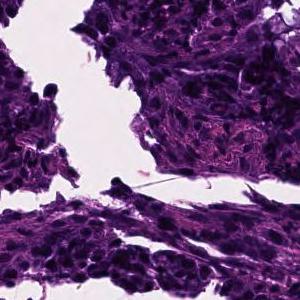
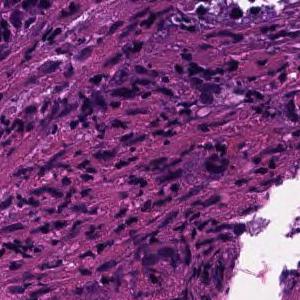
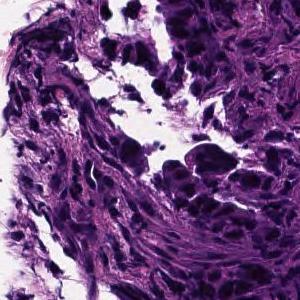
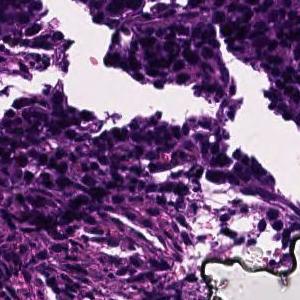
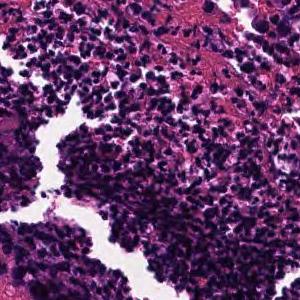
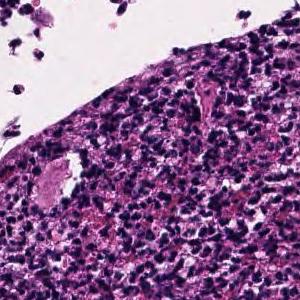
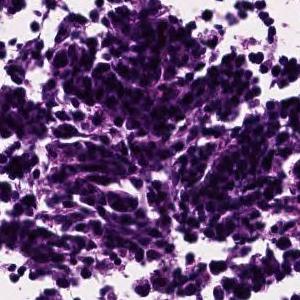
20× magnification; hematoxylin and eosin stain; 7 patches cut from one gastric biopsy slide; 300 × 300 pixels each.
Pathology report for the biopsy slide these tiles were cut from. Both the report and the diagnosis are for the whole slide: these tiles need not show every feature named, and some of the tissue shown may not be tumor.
In the superficial epithelium, tumor tissue that invades by forming medium-sized to small, irregular ducts is observed. moderately differentiated tubular adenocarcinoma.
